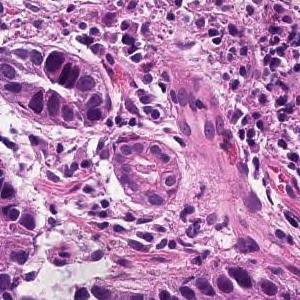
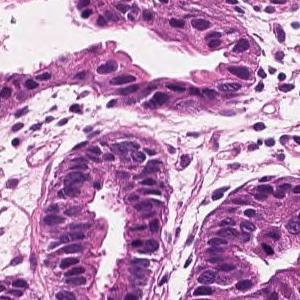
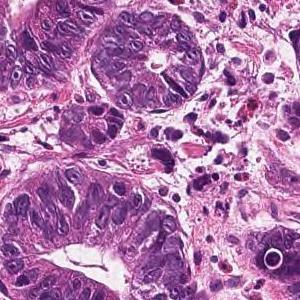
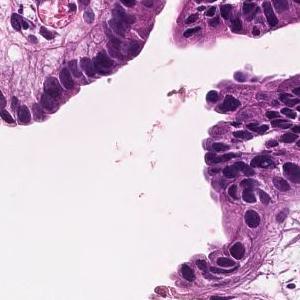
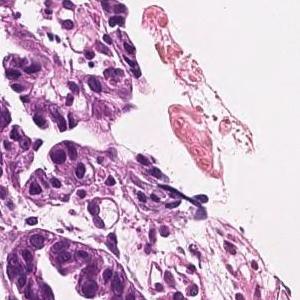
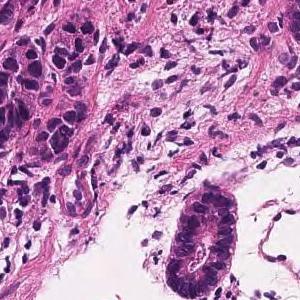
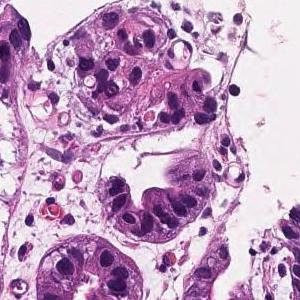
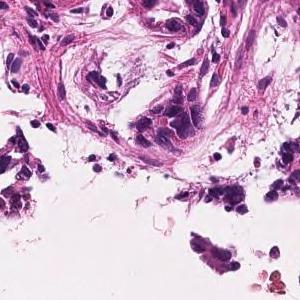
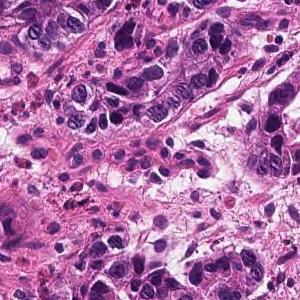
H&E stain, 9 image tiles from a single gastric biopsy slide.
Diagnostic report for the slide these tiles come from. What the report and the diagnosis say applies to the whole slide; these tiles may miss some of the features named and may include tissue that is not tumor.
In the superficial epithelium, tumor tissue that invades by forming medium-sized to small, irregular ducts is observed. Well differentiated tubular adenocarcinoma.
